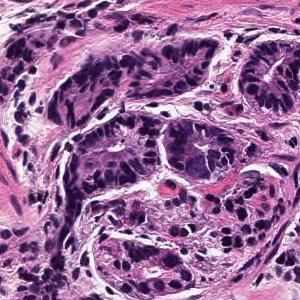
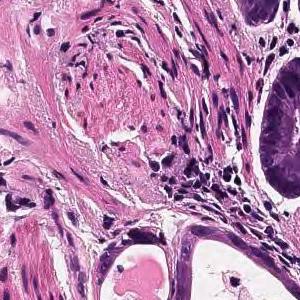
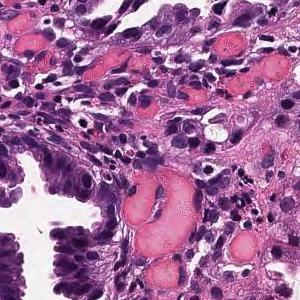
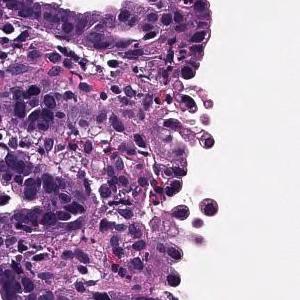
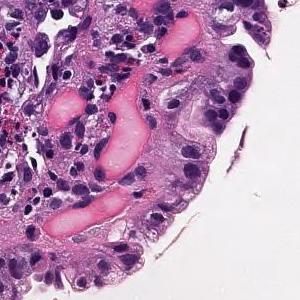
5 tiles cut from one stomach biopsy slide, H&E, ×20.
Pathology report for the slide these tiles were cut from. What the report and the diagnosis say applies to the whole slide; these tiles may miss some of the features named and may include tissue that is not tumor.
From the superficial epithelium to the muscularis mucosae, tumor tissue consisting of medium-sized and irregular glandular ducts infiltrating is observed. Well differentiated tubular adenocarcinoma
